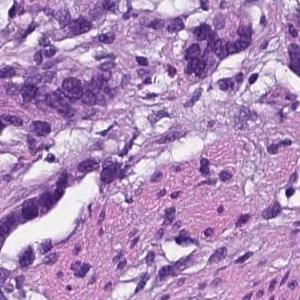
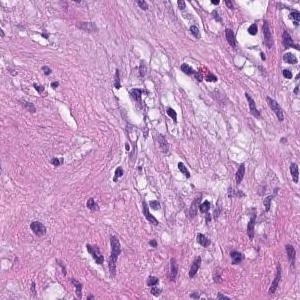
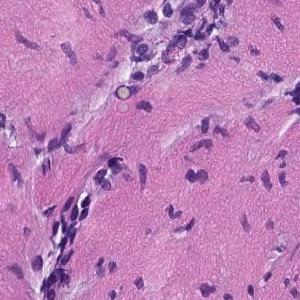
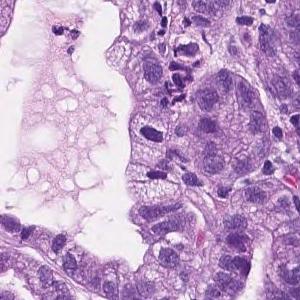
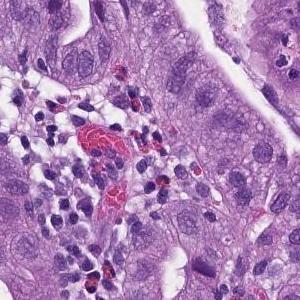
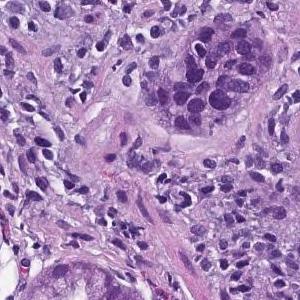
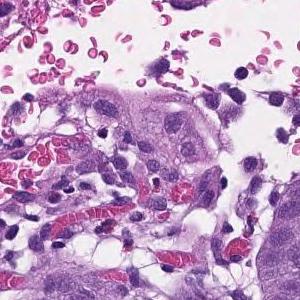
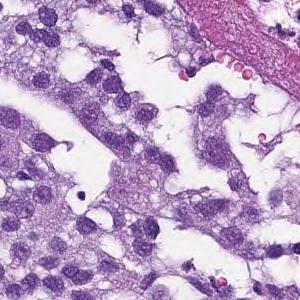
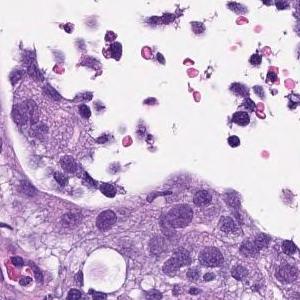
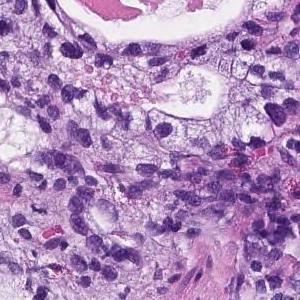
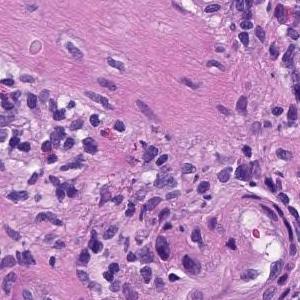
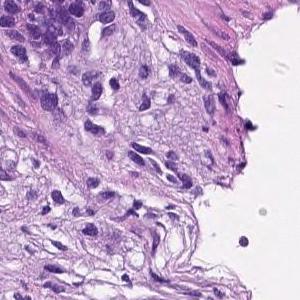
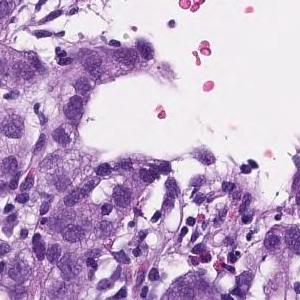
H&E stain, 13 patches cut from one gastric biopsy slide.
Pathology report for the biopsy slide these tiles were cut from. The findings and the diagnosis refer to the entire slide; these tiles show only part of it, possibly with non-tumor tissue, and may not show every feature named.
From the superficial epithelium to the muscularis mucosae, tumor tissue consisting of medium-sized and irregular glandular ducts infiltrating is observed. Well differentiated tubular adenocarcinoma
